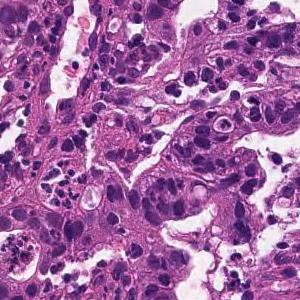
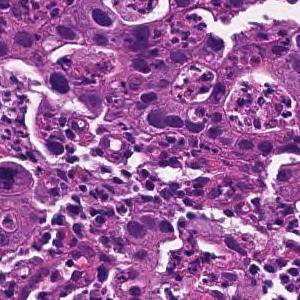
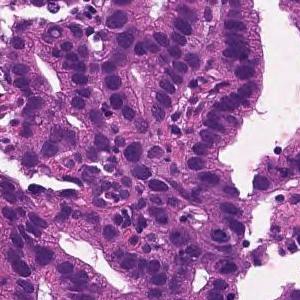
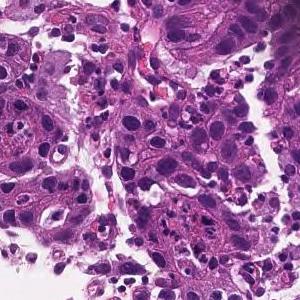
4 tiles from the same stomach biopsy slide; 300 × 300 pixels each; scanned at ×20; H&E.
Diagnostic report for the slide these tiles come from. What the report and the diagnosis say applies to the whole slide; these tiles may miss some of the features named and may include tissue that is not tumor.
Medium to small, irregular glandular ducts are formed in the superficial epithelium, and in some cases, the glandular ducts are fused to show solid alveolar lesions and infiltrating tumor tissue is observed. Moderately to poorly differentiated adenocarcinoma.
